20× magnification; hematoxylin and eosin stain; 6 patches cut from one gastric biopsy slide.
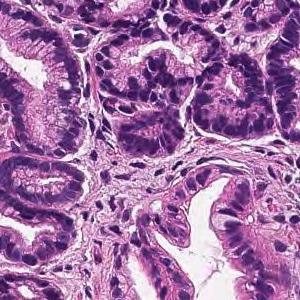
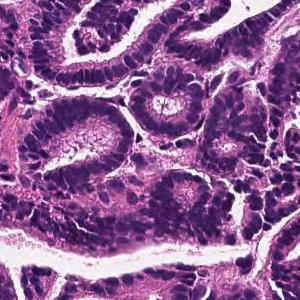
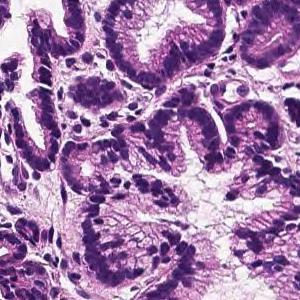
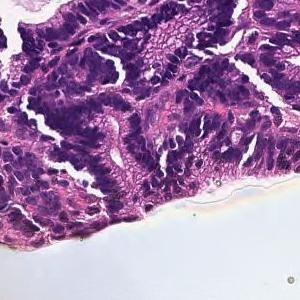
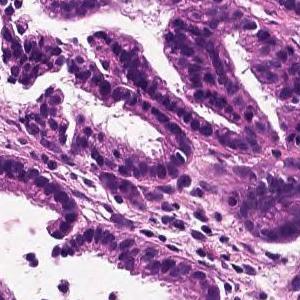
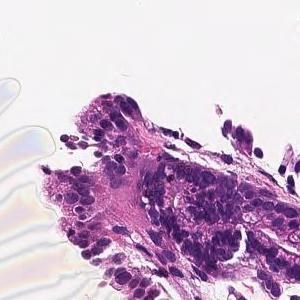
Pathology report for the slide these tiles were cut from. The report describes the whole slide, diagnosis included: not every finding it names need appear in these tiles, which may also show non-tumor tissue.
On the superficial epithelium, tumor tissue consisting of large irregular glandular ducts partially fused and infiltrated is observed. Well to moderately differentiated tubular adenocarcinoma (well differentiated tubular adenocarcinoma, moderately differentiated tubular adenocarcinoma)
Histological subtype: Well to moderately differentiated tubular adenocarcinoma.
